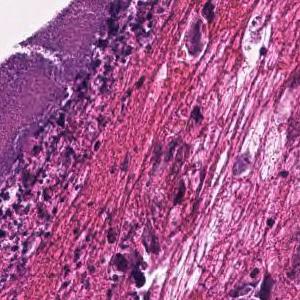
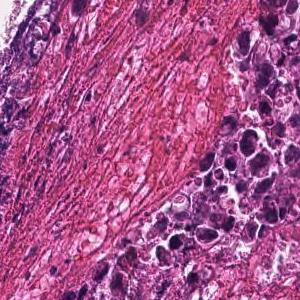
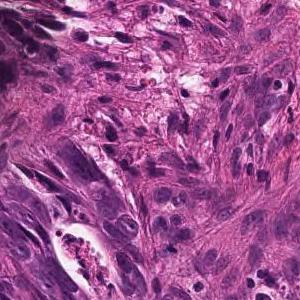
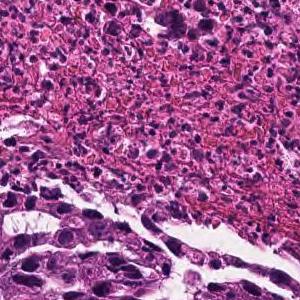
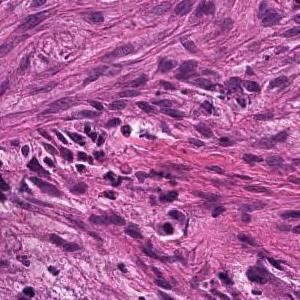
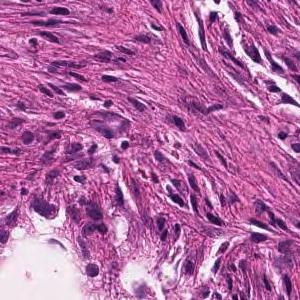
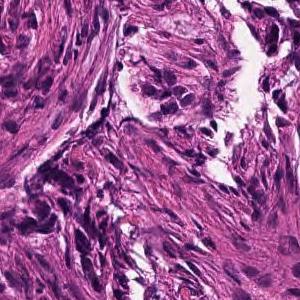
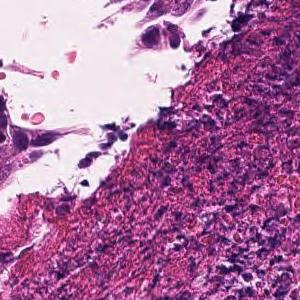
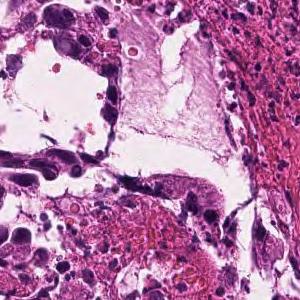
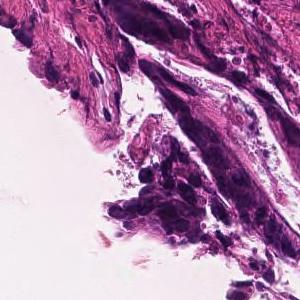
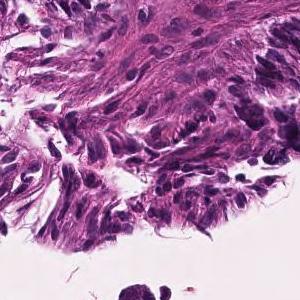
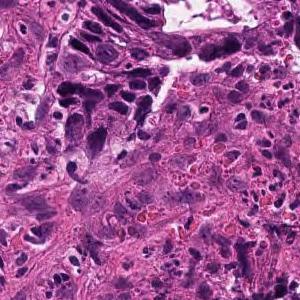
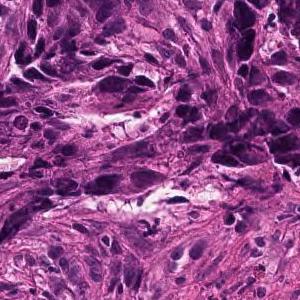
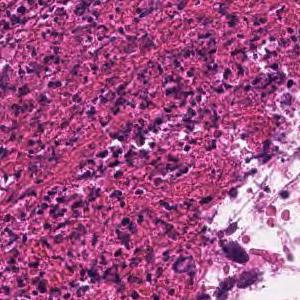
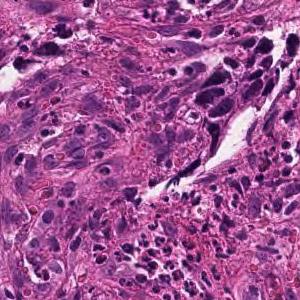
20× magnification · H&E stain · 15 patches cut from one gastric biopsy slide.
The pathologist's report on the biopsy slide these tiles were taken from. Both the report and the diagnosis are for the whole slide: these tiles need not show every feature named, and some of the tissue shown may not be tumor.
In the superficial epithelium, tumor tissue that invades by forming medium-sized to small, irregular ducts is observed. moderately differentiated tubular adenocarcinoma.
